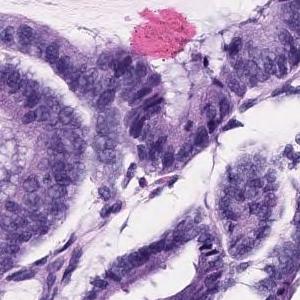
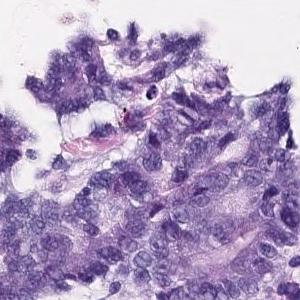
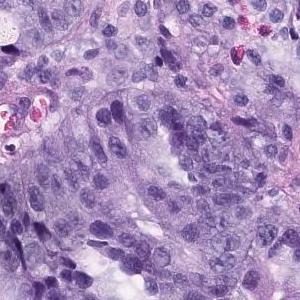
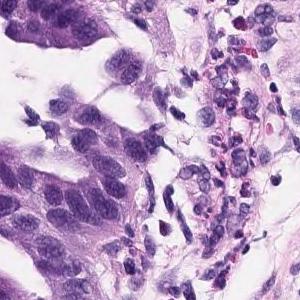
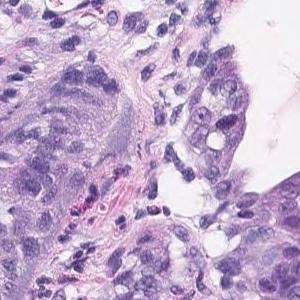
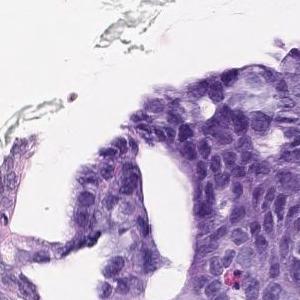
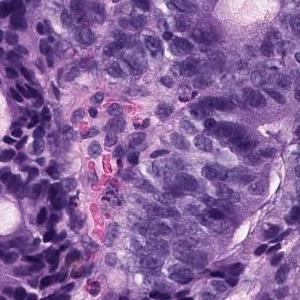
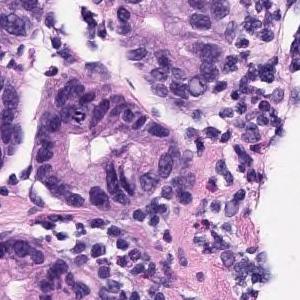
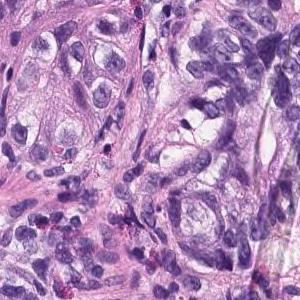
H&E stain; 9 patches cut from one gastric biopsy slide.
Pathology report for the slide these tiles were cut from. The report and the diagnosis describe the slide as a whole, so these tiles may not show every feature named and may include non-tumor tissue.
In the superficial epithelium, tumor tissue that invades by forming medium-sized to small, irregular ducts is observed. Well to moderately differentiated tubular adenocarcinoma.
